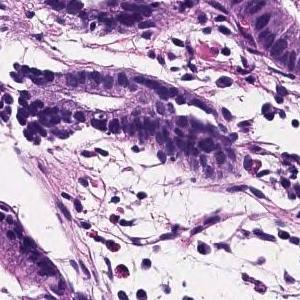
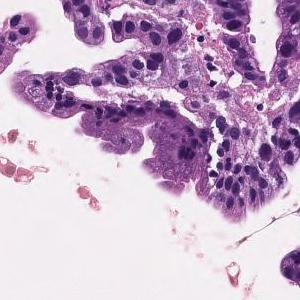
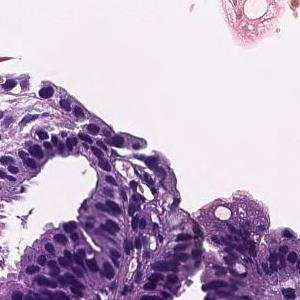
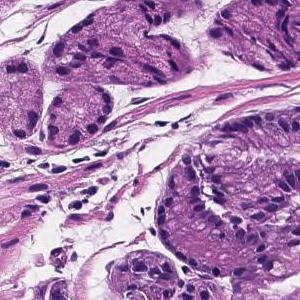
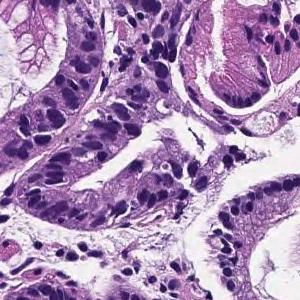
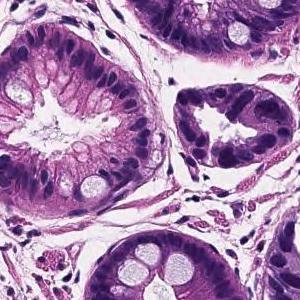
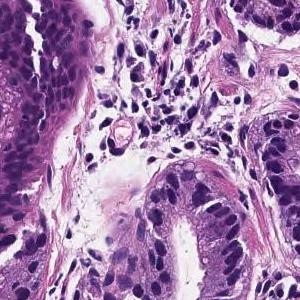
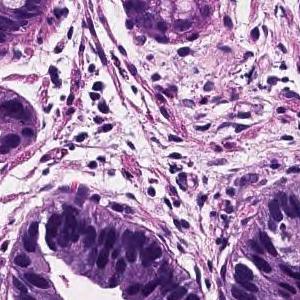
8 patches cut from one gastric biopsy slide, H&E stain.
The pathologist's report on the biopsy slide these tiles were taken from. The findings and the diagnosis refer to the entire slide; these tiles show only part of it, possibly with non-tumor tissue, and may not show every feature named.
Tumor cells are large, highly columnar, large club-shaped nuclei, and are associated with chromatin aggregation. Papillary adenocarcinoma.
